4 tiles from the same stomach biopsy slide · 300 × 300 pixels each · H&E stain · 20× magnification.
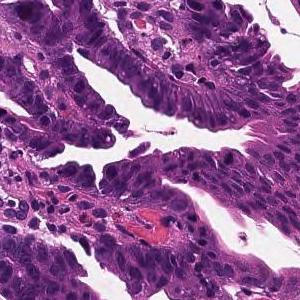
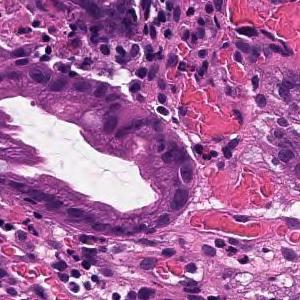
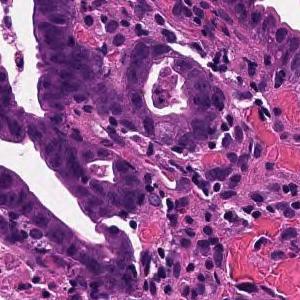
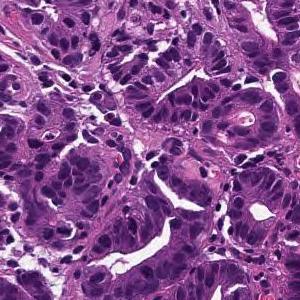
Diagnostic report for the slide these tiles come from. Both the report and the diagnosis are for the whole slide: these tiles need not show every feature named, and some of the tissue shown may not be tumor.
From the superficial epithelium to the muscularis mucosae, tumor tissue consisting of medium-sized and irregular glandular ducts infiltrating is observed. Well differentiated tubular adenocarcinoma
